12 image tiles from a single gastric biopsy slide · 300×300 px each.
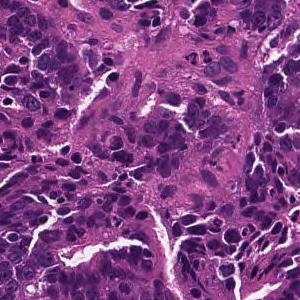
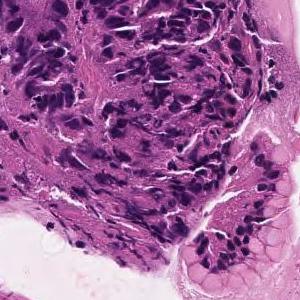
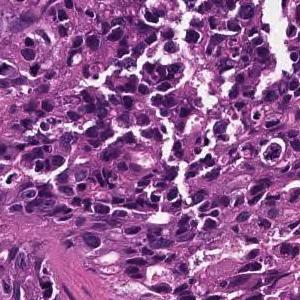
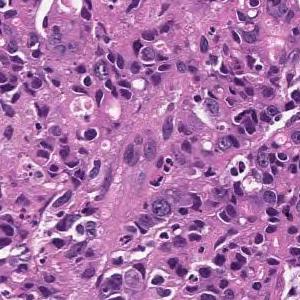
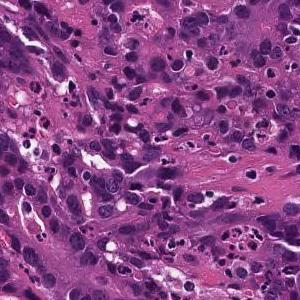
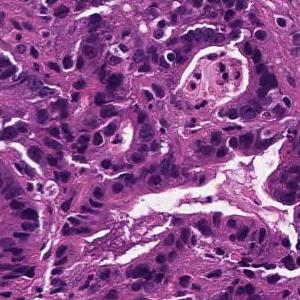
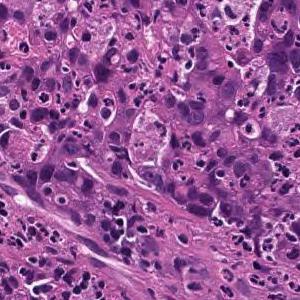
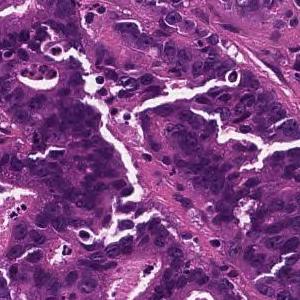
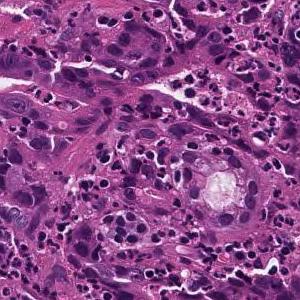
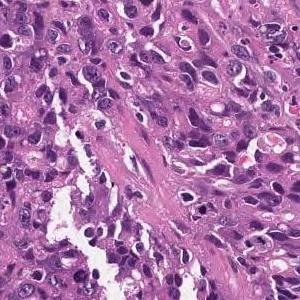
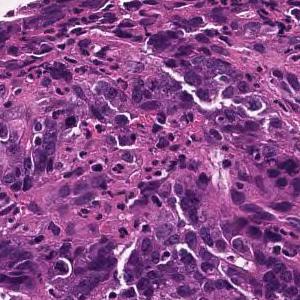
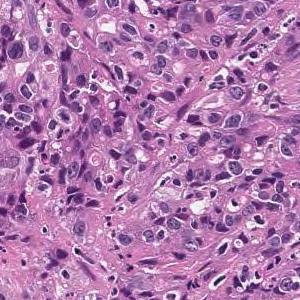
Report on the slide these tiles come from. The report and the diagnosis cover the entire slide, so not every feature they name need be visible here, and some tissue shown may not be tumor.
In the superficial epithelium, tumor tissue that invades by forming medium-sized to small, irregular ducts is observed. moderately differentiated tubular adenocarcinoma.
